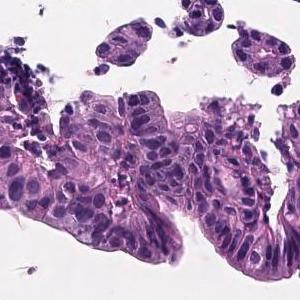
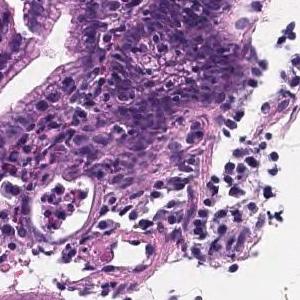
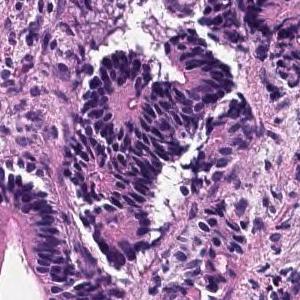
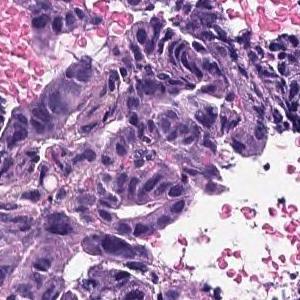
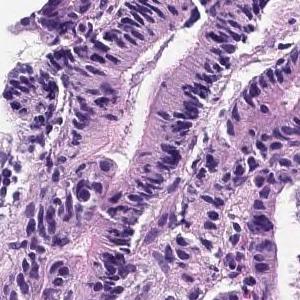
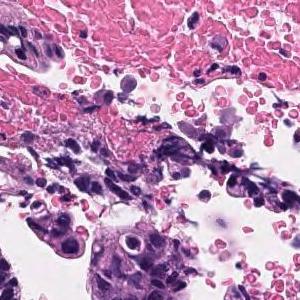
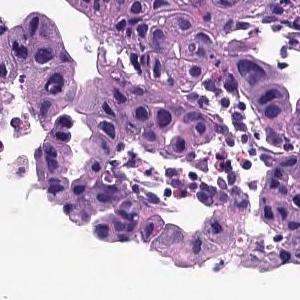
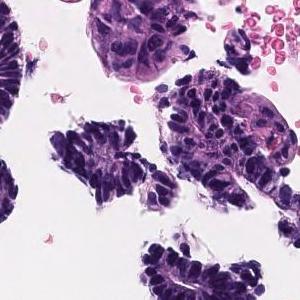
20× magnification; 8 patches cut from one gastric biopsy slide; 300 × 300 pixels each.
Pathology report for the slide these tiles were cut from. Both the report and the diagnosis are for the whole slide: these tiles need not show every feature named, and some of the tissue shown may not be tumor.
In the superficial epithelium, tumor tissue that invades by forming medium-sized to small, irregular ducts is observed. Moderately differentiated adenocarcinoma.
Subtype: Moderately differentiated tubular adenocarcinoma.
